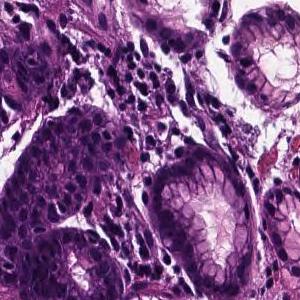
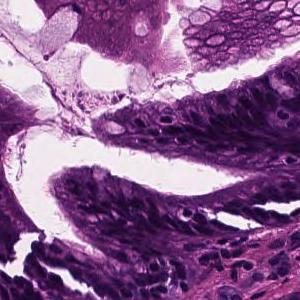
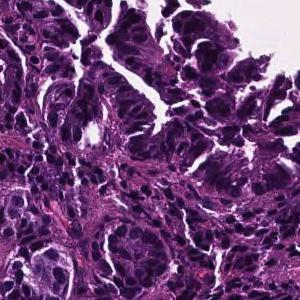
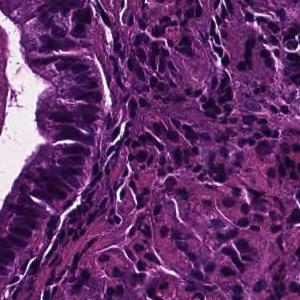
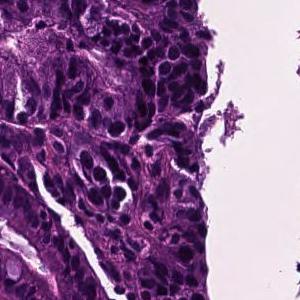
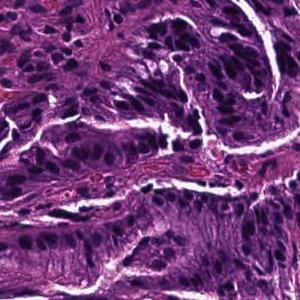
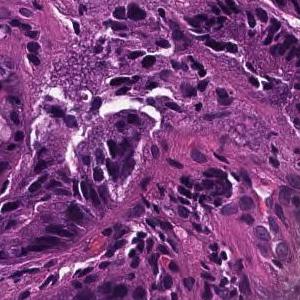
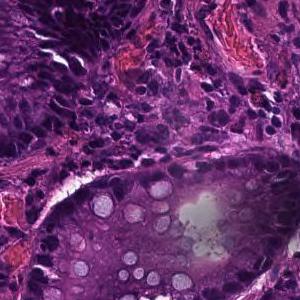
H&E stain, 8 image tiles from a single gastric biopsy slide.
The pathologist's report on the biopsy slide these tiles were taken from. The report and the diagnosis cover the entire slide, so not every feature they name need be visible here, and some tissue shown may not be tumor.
In the superficial epithelium, tumor tissue that invades by forming medium-sized to small, irregular ducts is observed. Well differentiated tubular adenocarcinoma.
